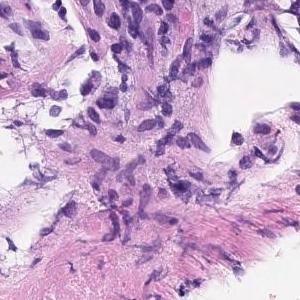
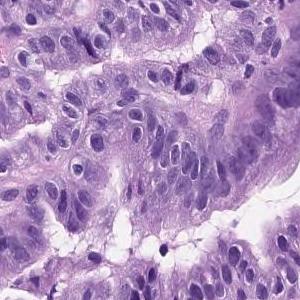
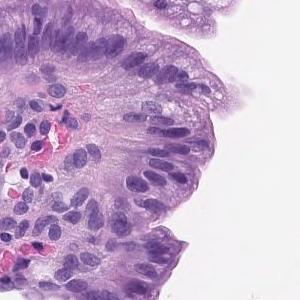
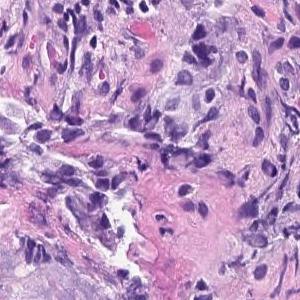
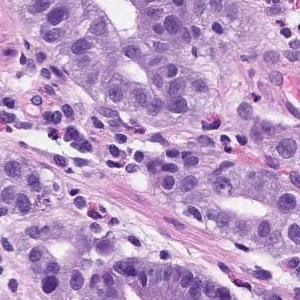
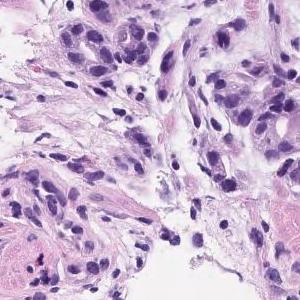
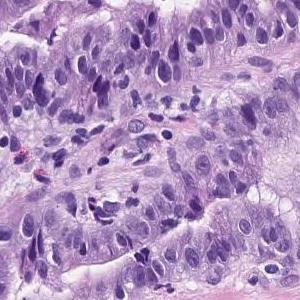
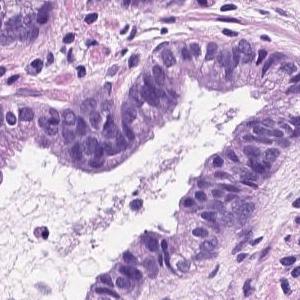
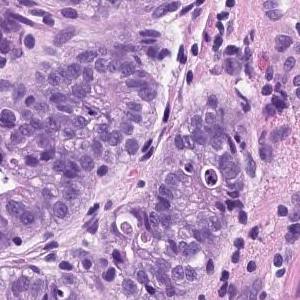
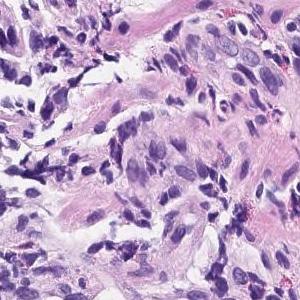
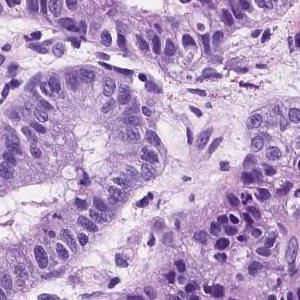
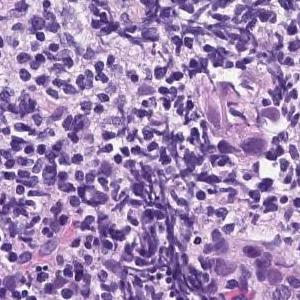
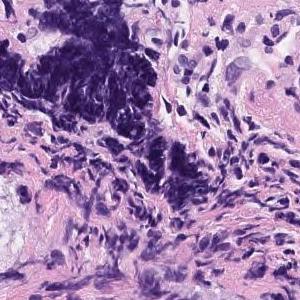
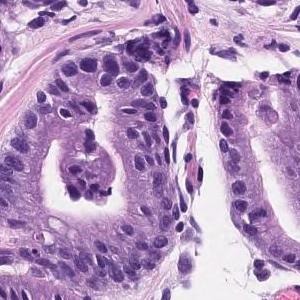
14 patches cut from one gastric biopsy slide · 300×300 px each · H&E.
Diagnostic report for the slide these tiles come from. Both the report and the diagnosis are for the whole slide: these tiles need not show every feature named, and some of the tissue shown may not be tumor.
Tumor tissue consisting of medium-sized and irregular ducts is observed infiltrating in the superficial epithelium. Tumor cells are highly columnar, with nuclei aligned basolaterally and polarized. Well differentiated tubular adenocarcinoma.
